15 tiles cut from one stomach biopsy slide; each 300 × 300 pixels; ×20; H&E.
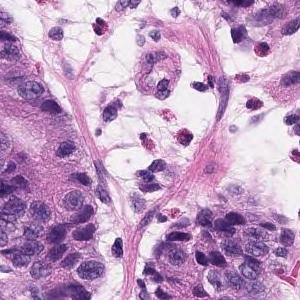
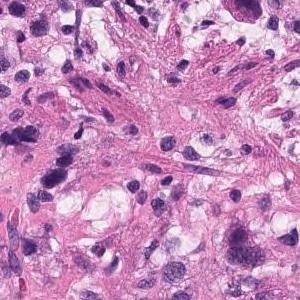
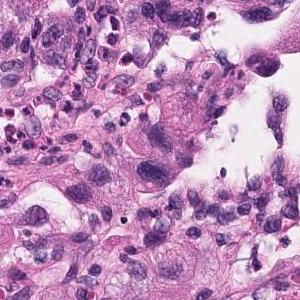
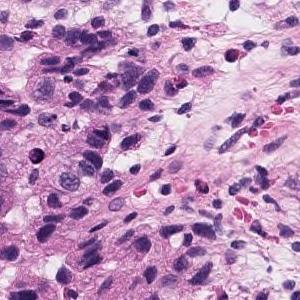
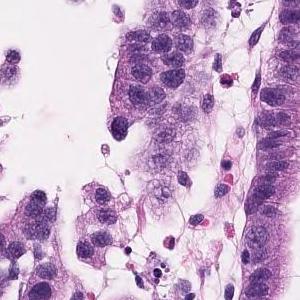
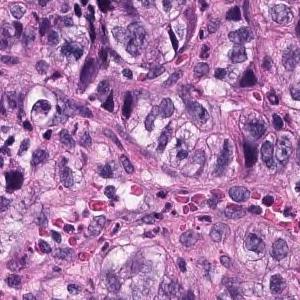
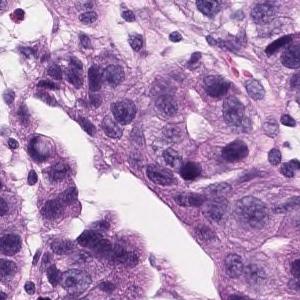
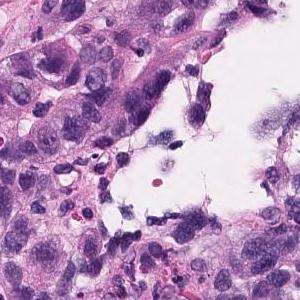
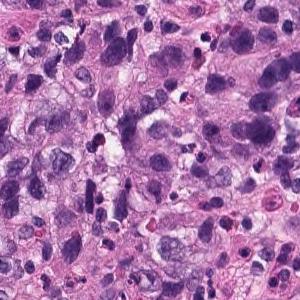
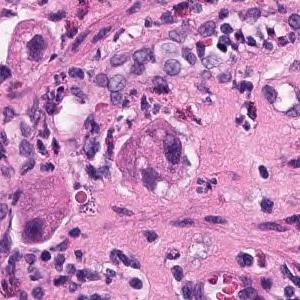
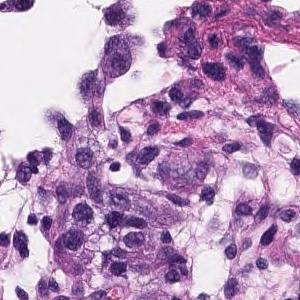
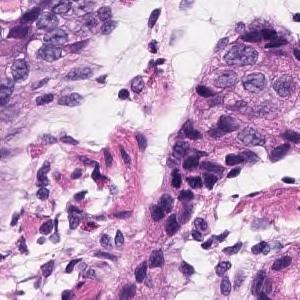
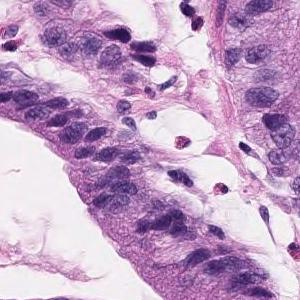
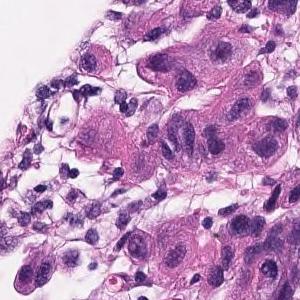
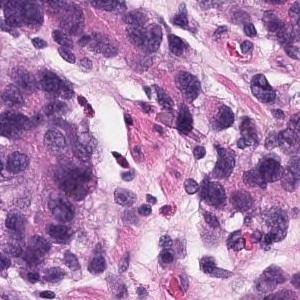
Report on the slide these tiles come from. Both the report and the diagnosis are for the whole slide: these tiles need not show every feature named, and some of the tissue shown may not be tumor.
Atypical l cells with atypical nuclei forming diffuse or small irregular atypical ducts and growing. Moderately to poorly differentiated adenocarcinoma (poorly differentiated adenocarcinoma, solid type, moderately differentiated tubular adenocarcinoma)
Histologic type: Moderately to poorly differentiated adenocarcinoma.
The term "solid type" comes from the Japanese Classification of Gastric Carcinoma; the WHO 2019 equivalent is tubular adenocarcinoma, poorly differentiated.
